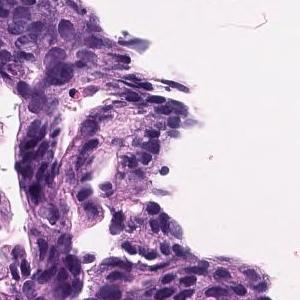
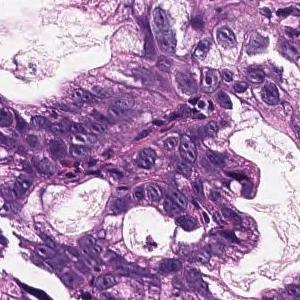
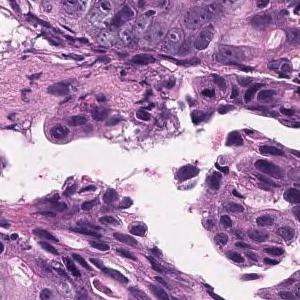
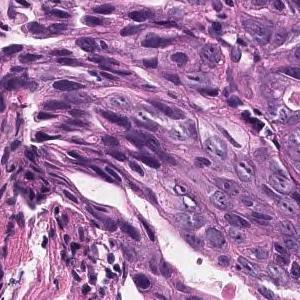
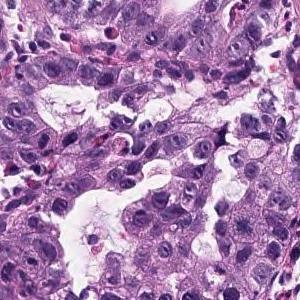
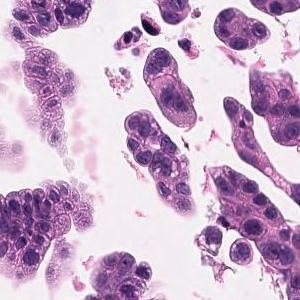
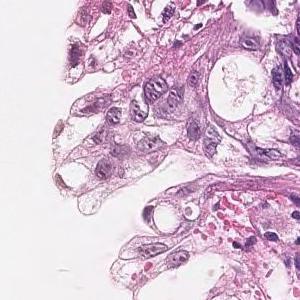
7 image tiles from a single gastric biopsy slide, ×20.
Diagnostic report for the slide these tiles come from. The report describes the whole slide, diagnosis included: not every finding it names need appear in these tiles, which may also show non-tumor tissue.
Tumor cells are large, highly columnar, large club-shaped nuclei, and are associated with chromatin aggregation. Papillary adenocarcinoma.
